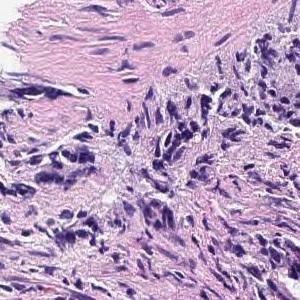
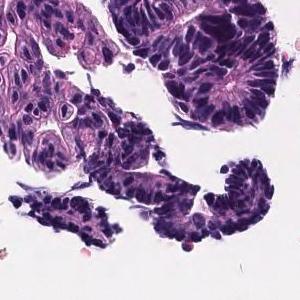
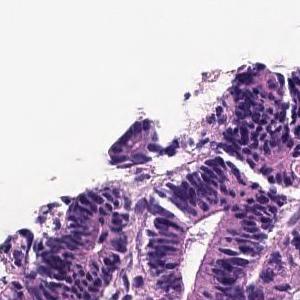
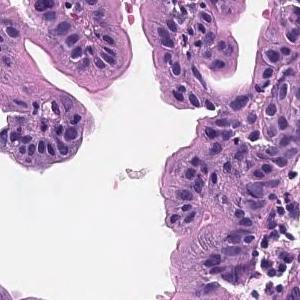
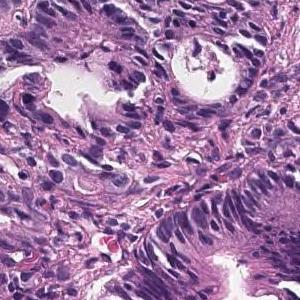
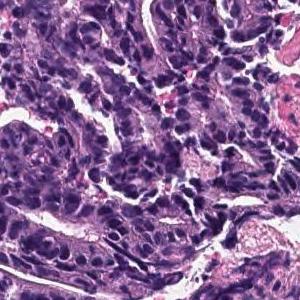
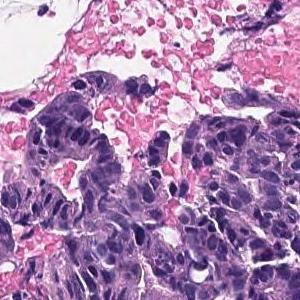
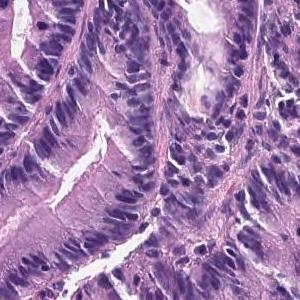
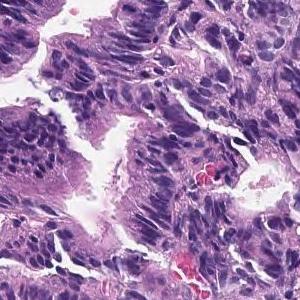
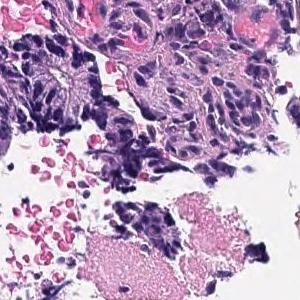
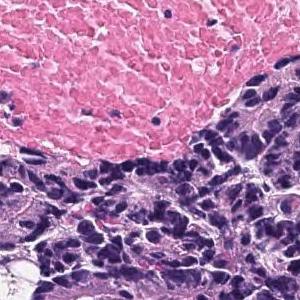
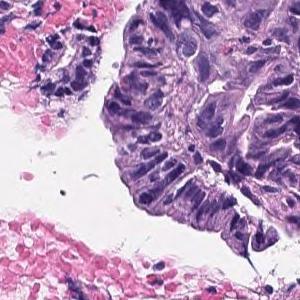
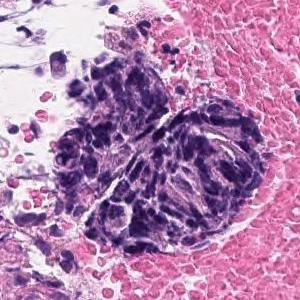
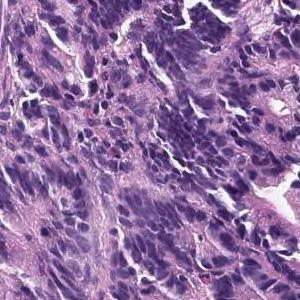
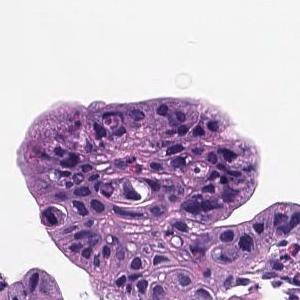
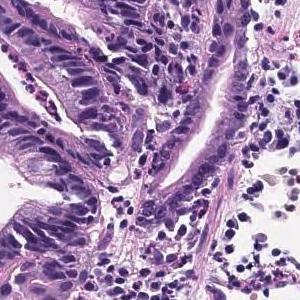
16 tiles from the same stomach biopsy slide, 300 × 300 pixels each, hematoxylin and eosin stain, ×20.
Report on the slide these tiles come from. The report and the diagnosis cover the entire slide, so not every feature they name need be visible here, and some tissue shown may not be tumor.
In the superficial epithelium, tumor tissue that invades by forming medium-sized to small, irregular ducts is observed. Moderately differentiated adenocarcinoma.
Classified as moderately differentiated tubular adenocarcinoma.
